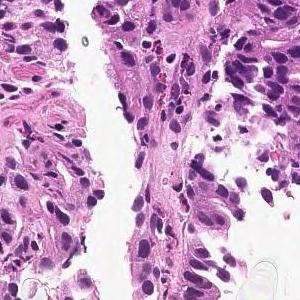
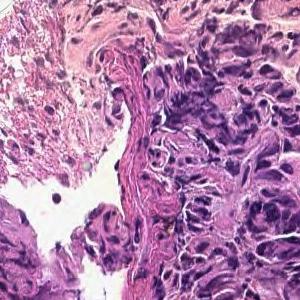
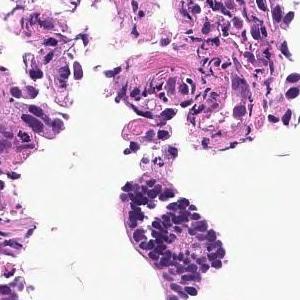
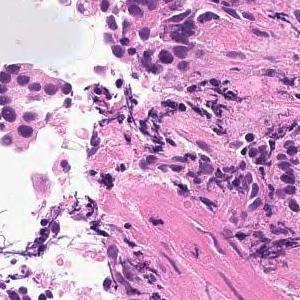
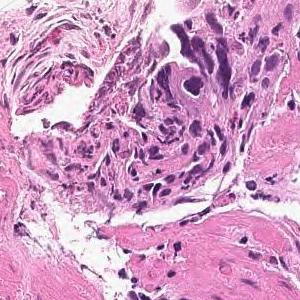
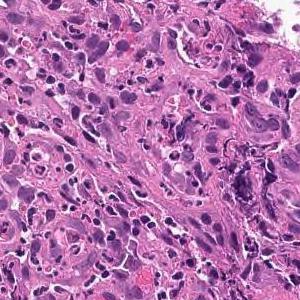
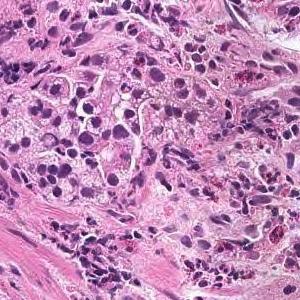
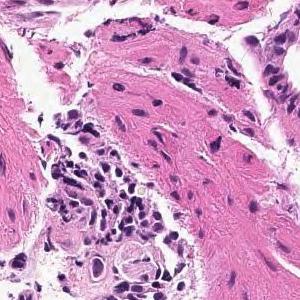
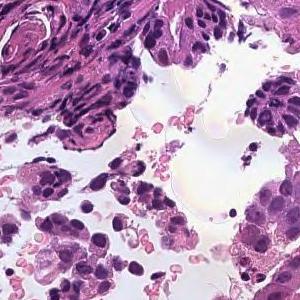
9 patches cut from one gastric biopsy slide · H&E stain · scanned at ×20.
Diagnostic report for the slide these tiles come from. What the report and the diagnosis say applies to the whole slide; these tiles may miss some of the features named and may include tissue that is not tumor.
On the superficial epithelium, tumor tissue consisting of large irregular glandular ducts partially fused and infiltrated is observed. Well to moderately differentiated tubular adenocarcinoma (well differentiated tubular adenocarcinoma, moderately differentiated tubular adenocarcinoma)
Subtype: Well to moderately differentiated tubular adenocarcinoma.
